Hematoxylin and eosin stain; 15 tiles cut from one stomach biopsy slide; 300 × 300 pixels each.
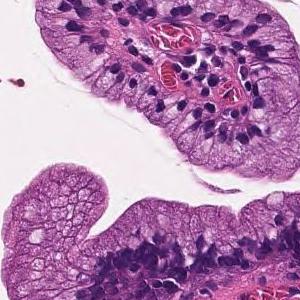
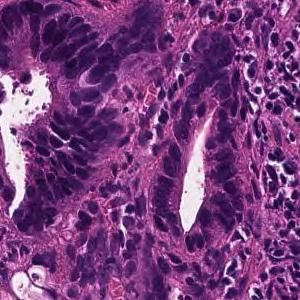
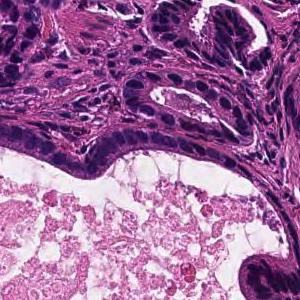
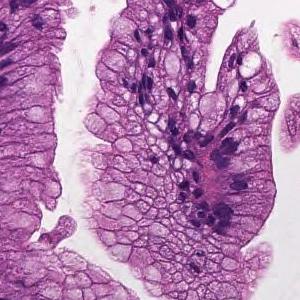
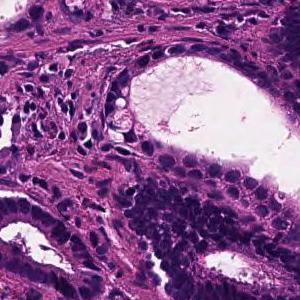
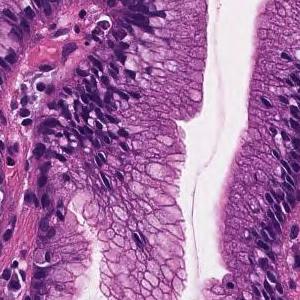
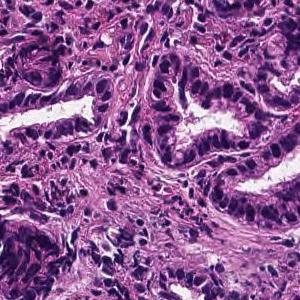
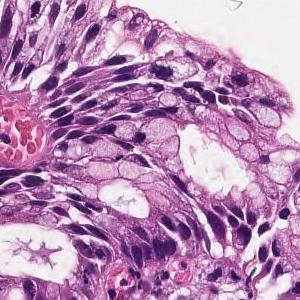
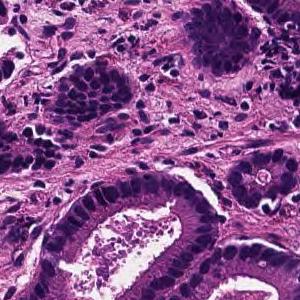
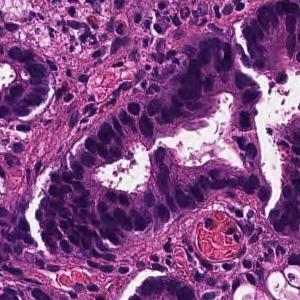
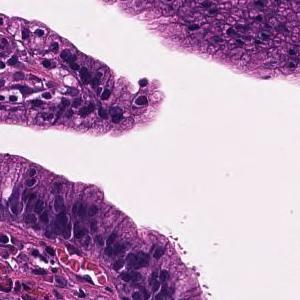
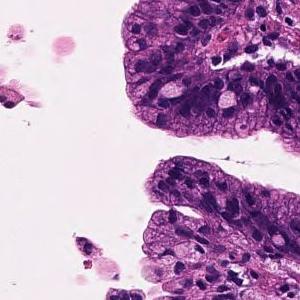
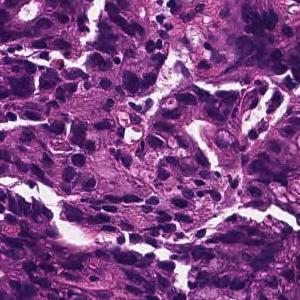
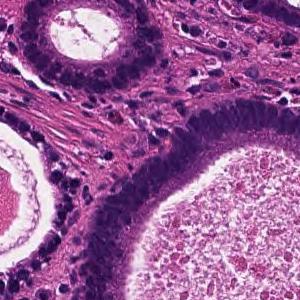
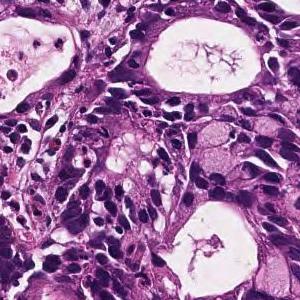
Report on the slide these tiles come from. The report describes the whole slide, diagnosis included: not every finding it names need appear in these tiles, which may also show non-tumor tissue.
On the superficial epithelium, tumor tissue consisting of medium-sized and irregular glandular ducts partially fused and infiltrated is observed. Well to moderately differentiated tubular adenocarcinoma (well differentiated tubular adenocarcinoma-moderately differentiated tubular adenocarcinoma)
Histological subtype: Well to moderately differentiated tubular adenocarcinoma.
